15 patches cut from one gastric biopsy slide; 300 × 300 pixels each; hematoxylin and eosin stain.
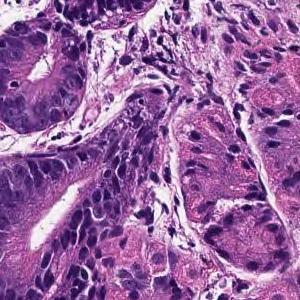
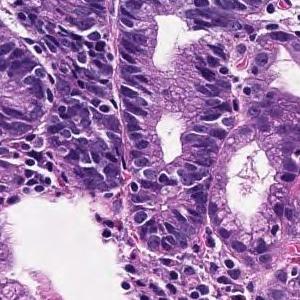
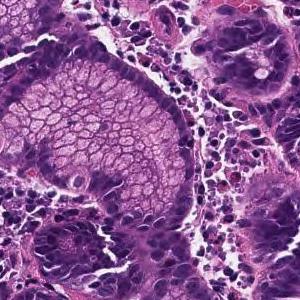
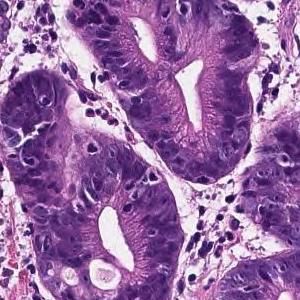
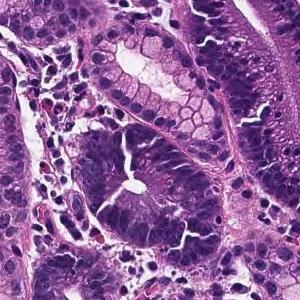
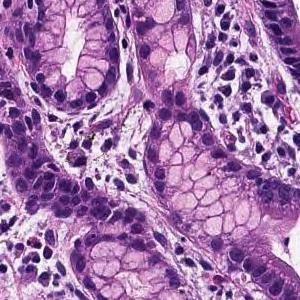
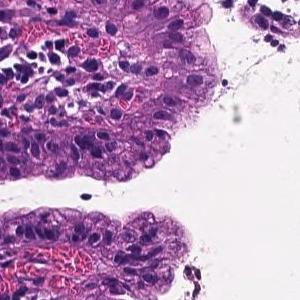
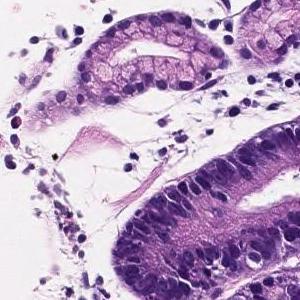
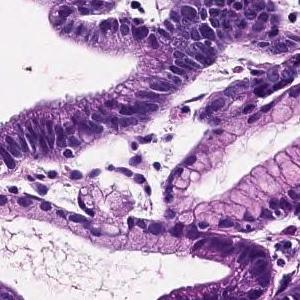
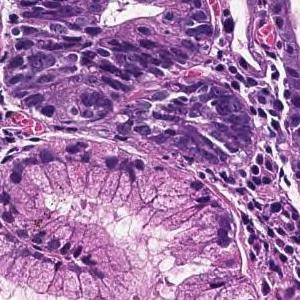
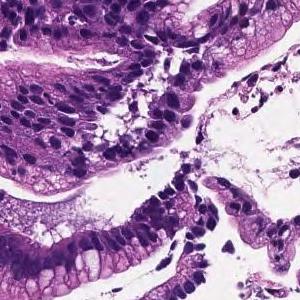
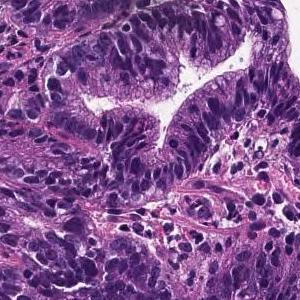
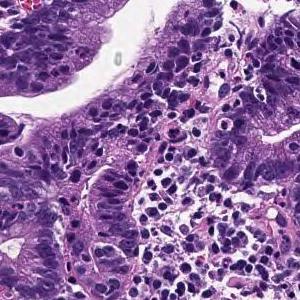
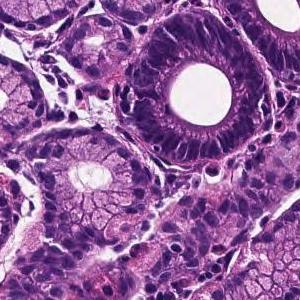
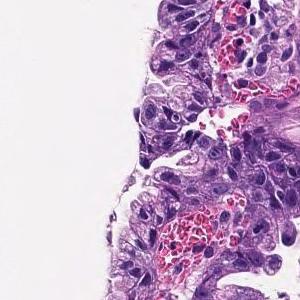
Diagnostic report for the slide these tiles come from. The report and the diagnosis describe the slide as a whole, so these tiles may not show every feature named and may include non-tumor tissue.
From the superficial epithelium to the muscularis mucosae, tumor tissue consisting of medium-sized and irregular glandular ducts infiltrating is observed. Well differentiated tubular adenocarcinoma
